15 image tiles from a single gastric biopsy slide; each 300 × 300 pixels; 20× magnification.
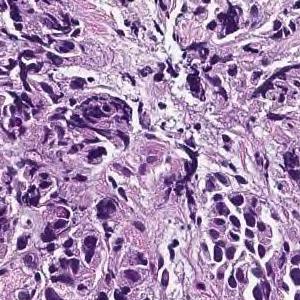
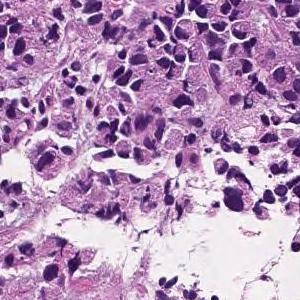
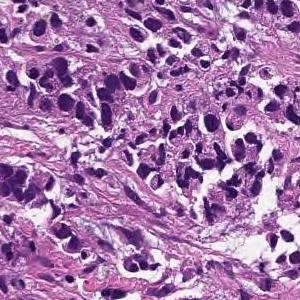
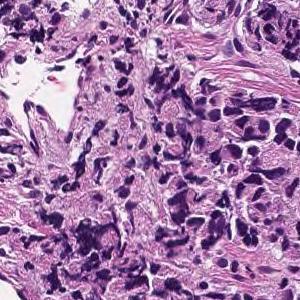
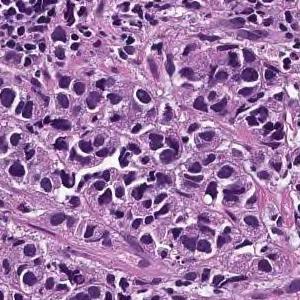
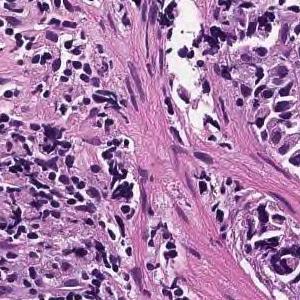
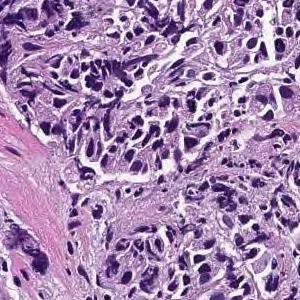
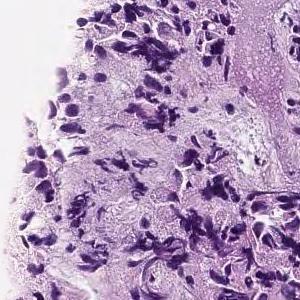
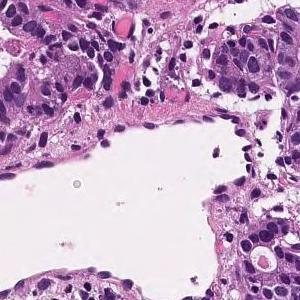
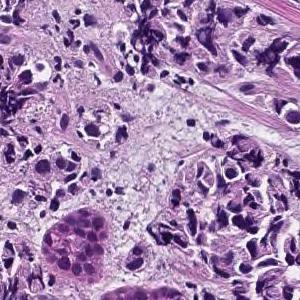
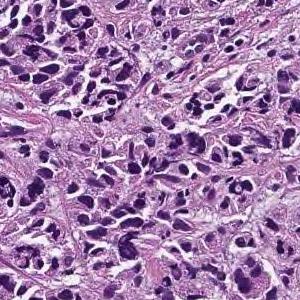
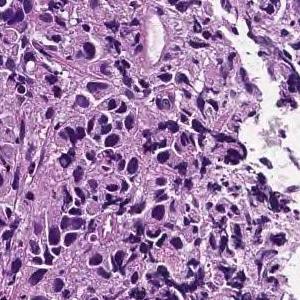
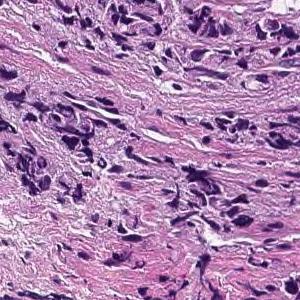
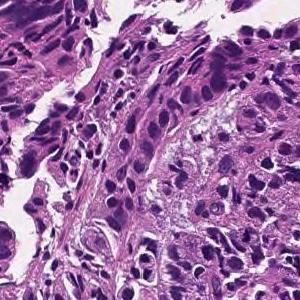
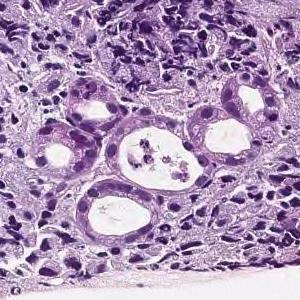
Pathology report for the slide these tiles were cut from. The report describes the whole slide, diagnosis included: not every finding it names need appear in these tiles, which may also show non-tumor tissue.
The lamina propria shows small cord-like tumor tissue that infiltrates with fibrosis and marked chronic inflammatory cell infiltration. Poorly differentiated adenocarcinoma, non-solid type
"Non-solid type" is a category of the Japanese Classification of Gastric Carcinoma.
